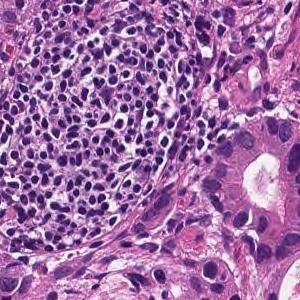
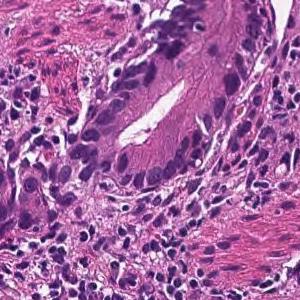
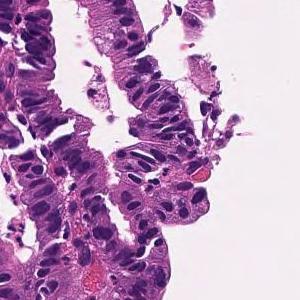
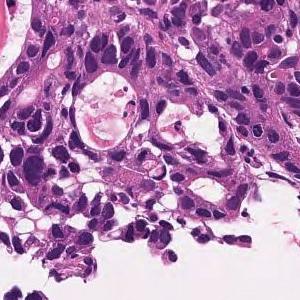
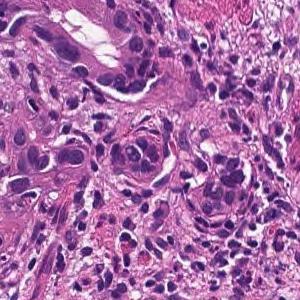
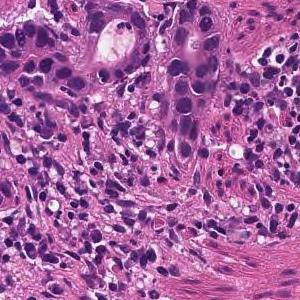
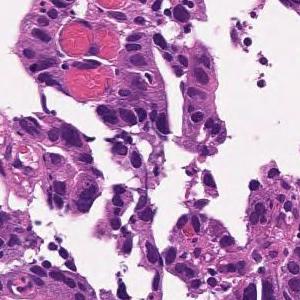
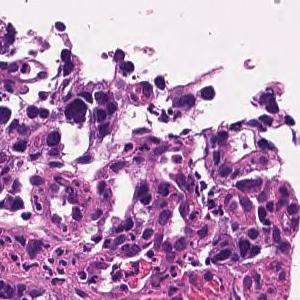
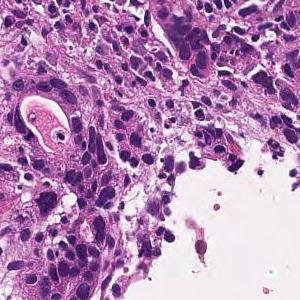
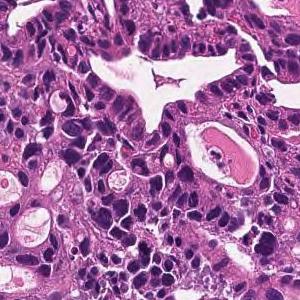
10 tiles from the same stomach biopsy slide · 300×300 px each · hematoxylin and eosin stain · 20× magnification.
Pathology report for the slide these tiles were cut from. The report and the diagnosis cover the entire slide, so not every feature they name need be visible here, and some tissue shown may not be tumor.
In the superficial epithelium, tumor tissue that invades by forming medium-sized to small, irregular ducts is observed. moderately differentiated tubular adenocarcinoma.
